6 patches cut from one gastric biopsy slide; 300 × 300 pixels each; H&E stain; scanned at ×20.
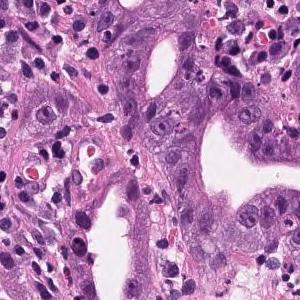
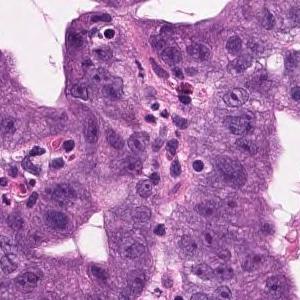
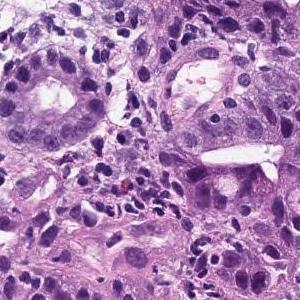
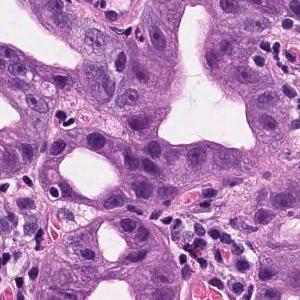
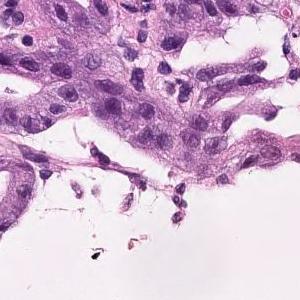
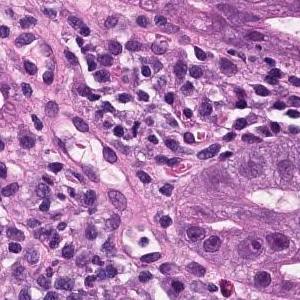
Diagnostic report for the slide these tiles come from. What the report and the diagnosis say applies to the whole slide; these tiles may miss some of the features named and may include tissue that is not tumor.
In the superficial epithelium, tumor tissue that invades by forming medium-sized to small, irregular ducts is observed. Well to moderately differentiated adenocarcinoma (well differentiated tubular adenocarcinoma, moderately differentiated tubular adenocarcinoma).
Histological subtype: Well to moderately differentiated tubular adenocarcinoma.
